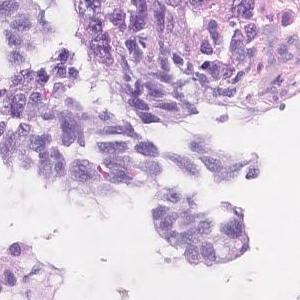
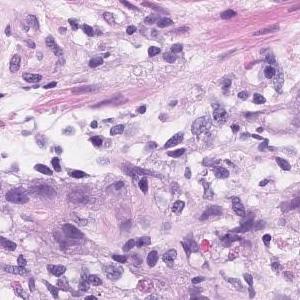
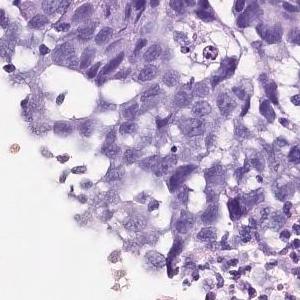
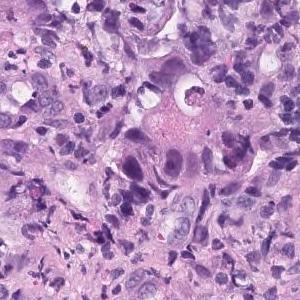
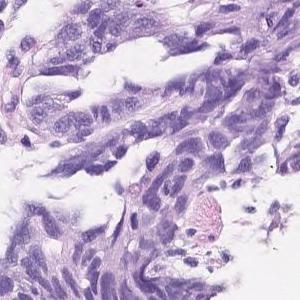
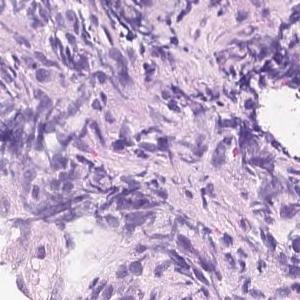
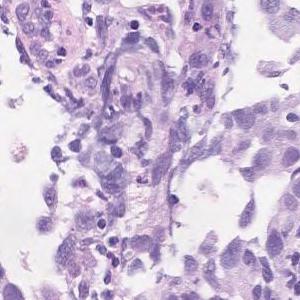
7 tiles from the same stomach biopsy slide · H&E.
The pathologist's report on the biopsy slide these tiles were taken from. What the report and the diagnosis say applies to the whole slide; these tiles may miss some of the features named and may include tissue that is not tumor.
Atypical epithelial cells infiltrating and proliferating diffusely or while forming vesicles is observed. Poorly differentiated adenocarcinoma (poorly differentiated adenocarcinoma, solid type moderately differentiated tubular adenocarcinoma)
The dataset labels this slide poorly differentiated adenocarcinoma, solid type. This name comes from the Japanese Classification of Gastric Carcinoma; the WHO 2019 classification calls it tubular adenocarcinoma, poorly differentiated.
